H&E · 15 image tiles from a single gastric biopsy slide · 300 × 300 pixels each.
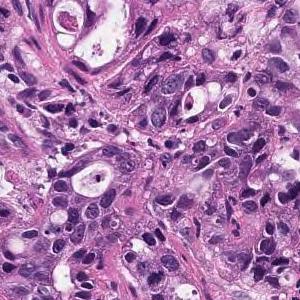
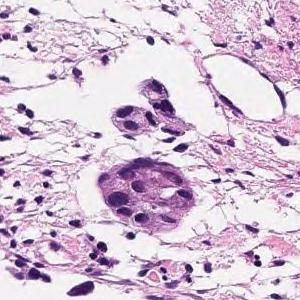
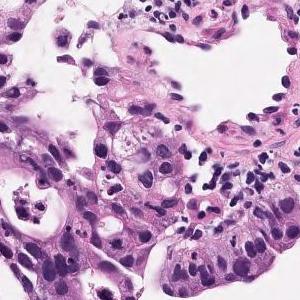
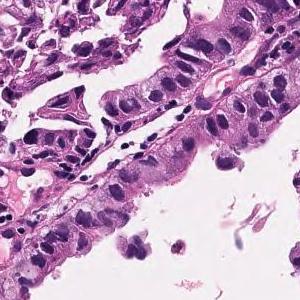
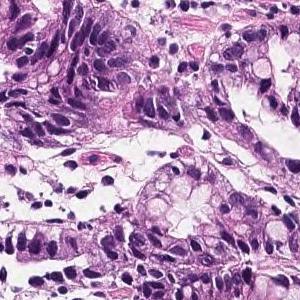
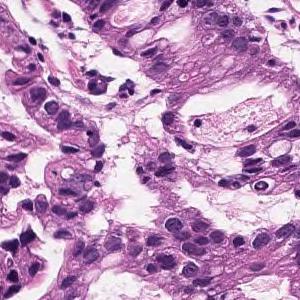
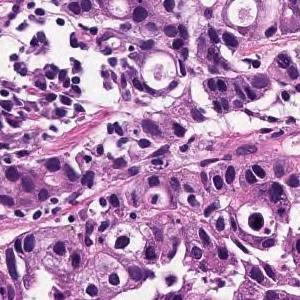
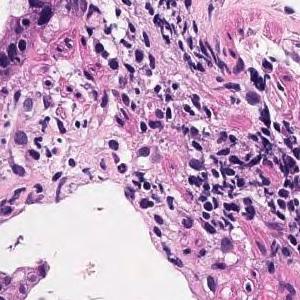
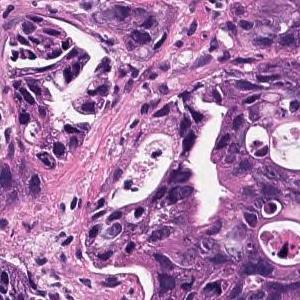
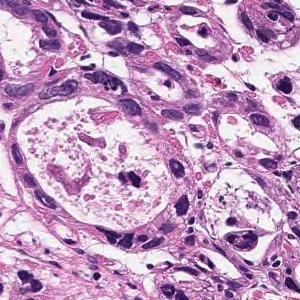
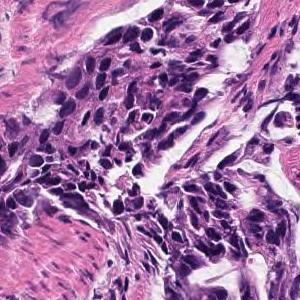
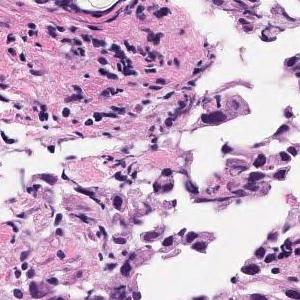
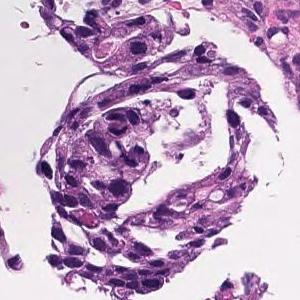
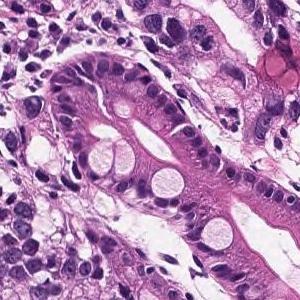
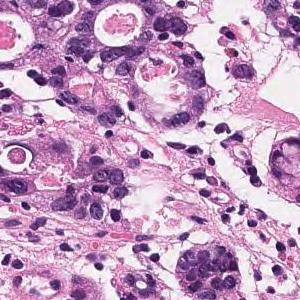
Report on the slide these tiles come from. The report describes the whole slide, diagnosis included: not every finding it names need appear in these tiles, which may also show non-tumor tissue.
In the superficial epithelium, tumor tissue that invades by forming medium-sized to small, irregular ducts is observed. Moderately differentiated adenocarcinoma.
Classified as moderately differentiated tubular adenocarcinoma.
